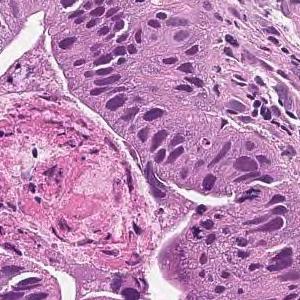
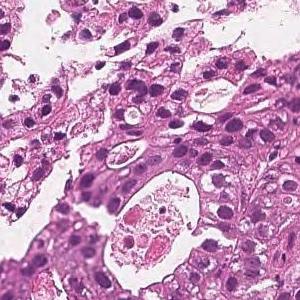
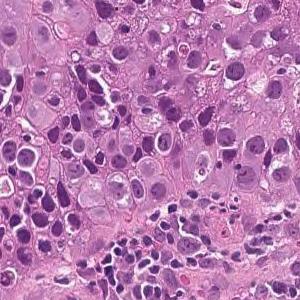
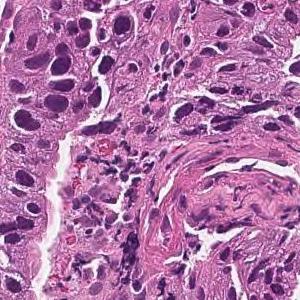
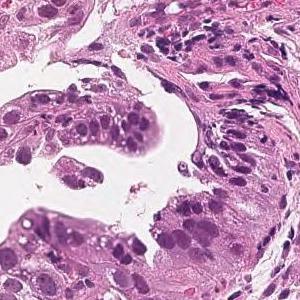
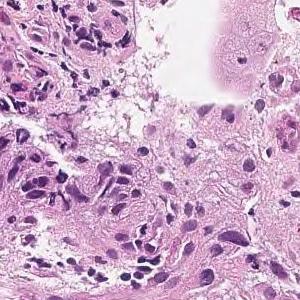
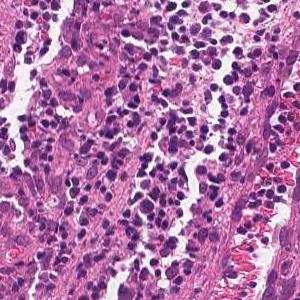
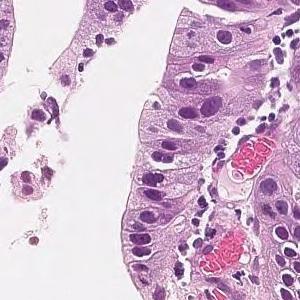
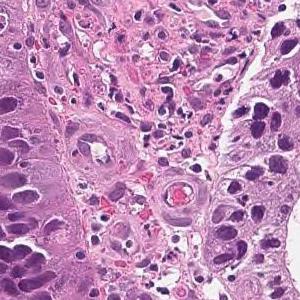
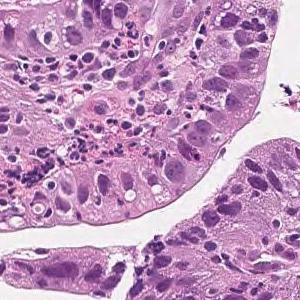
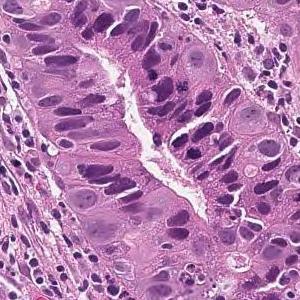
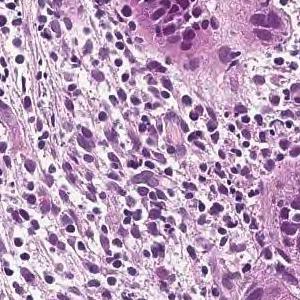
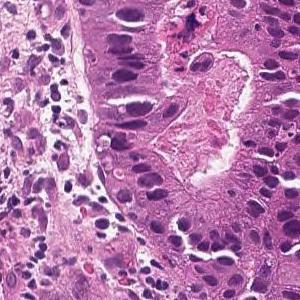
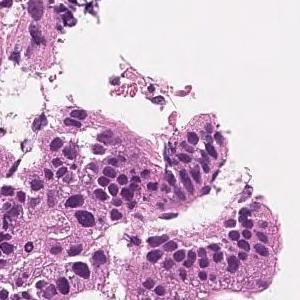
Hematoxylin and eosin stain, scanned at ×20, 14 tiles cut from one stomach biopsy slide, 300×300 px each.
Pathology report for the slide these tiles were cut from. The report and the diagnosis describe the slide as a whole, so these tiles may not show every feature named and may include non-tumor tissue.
In the superficial epithelium, tumor tissue that invades by forming medium-sized to small, irregular ducts is observed. moderately differentiated tubular adenocarcinoma.
